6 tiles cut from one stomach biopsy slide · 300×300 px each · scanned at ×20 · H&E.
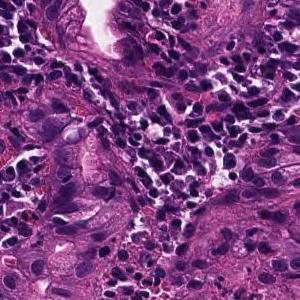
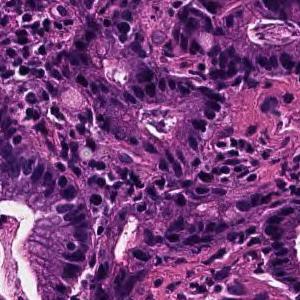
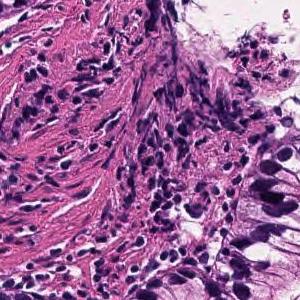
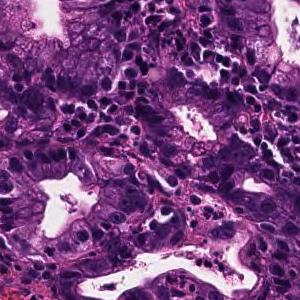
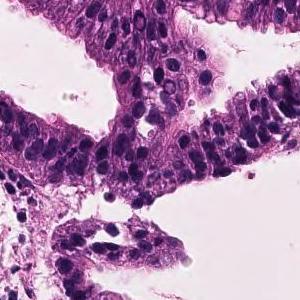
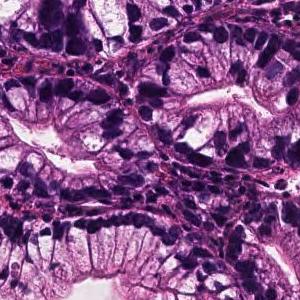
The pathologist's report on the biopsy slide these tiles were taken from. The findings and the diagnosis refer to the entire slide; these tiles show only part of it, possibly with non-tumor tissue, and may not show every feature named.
Tumor cells are large, highly columnar, large club-shaped nuclei, and are associated with chromatin aggregation. Papillary adenocarcinoma.
